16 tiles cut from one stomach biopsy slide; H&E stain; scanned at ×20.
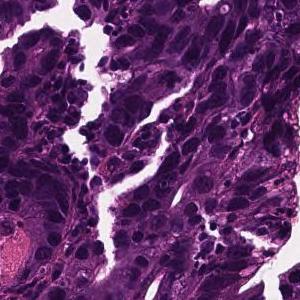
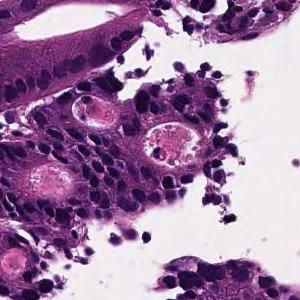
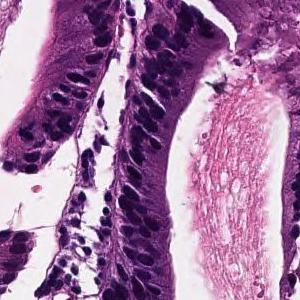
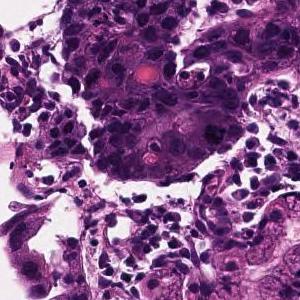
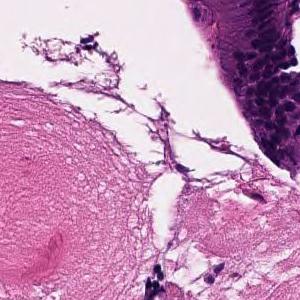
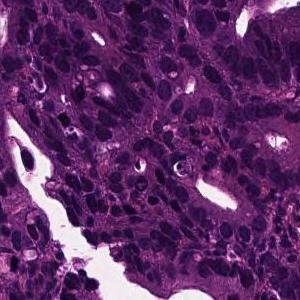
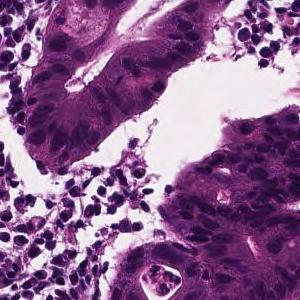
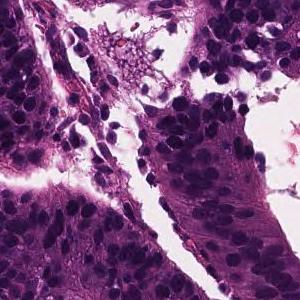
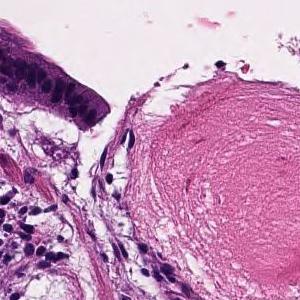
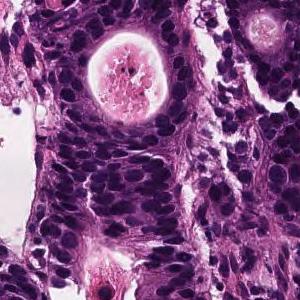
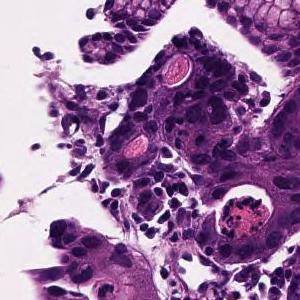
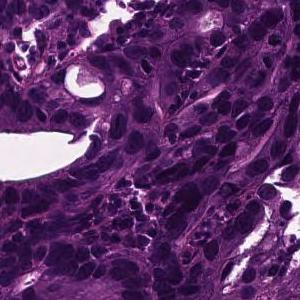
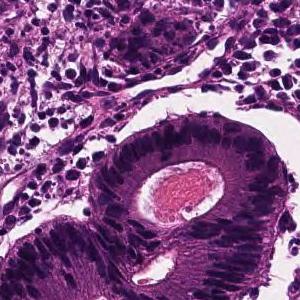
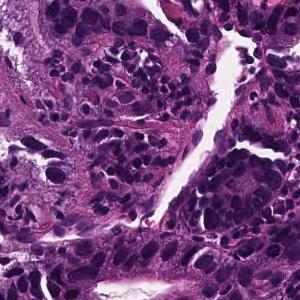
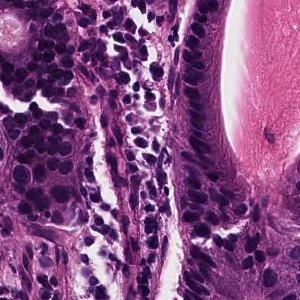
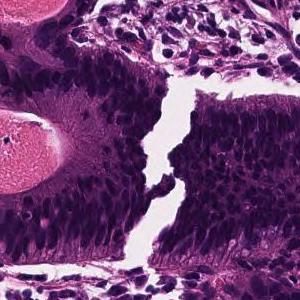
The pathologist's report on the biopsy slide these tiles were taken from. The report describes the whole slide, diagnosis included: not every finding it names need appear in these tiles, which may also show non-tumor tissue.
In the superficial epithelium, tumor tissue that invades by forming medium-sized to small, irregular ducts is observed. moderately differentiated tubular adenocarcinoma.
